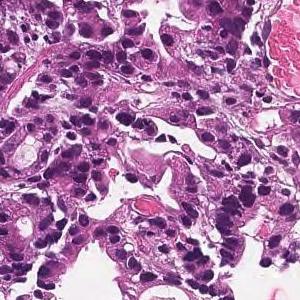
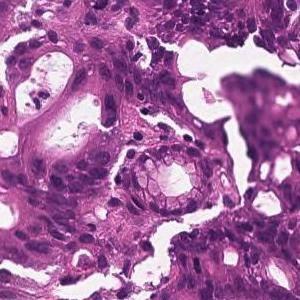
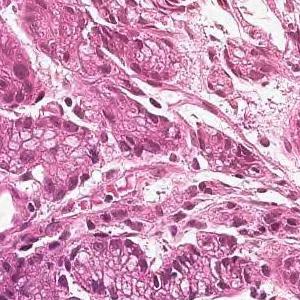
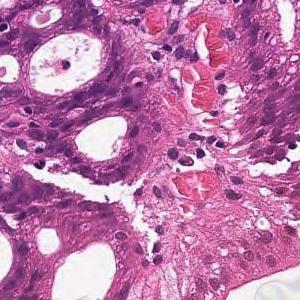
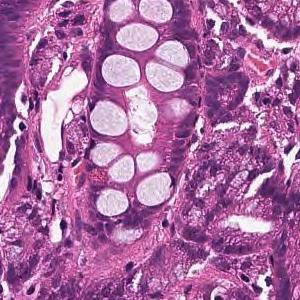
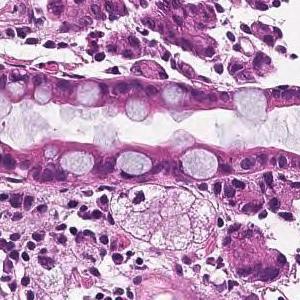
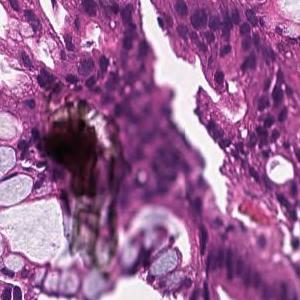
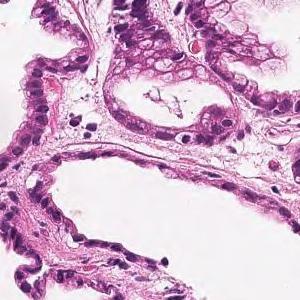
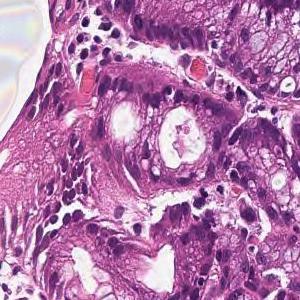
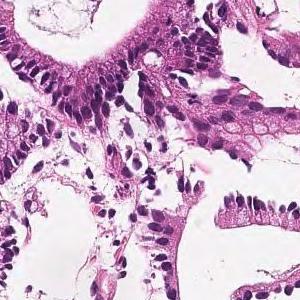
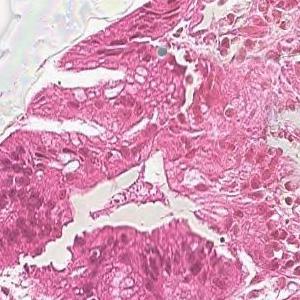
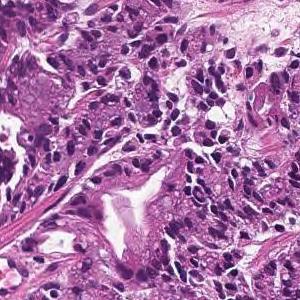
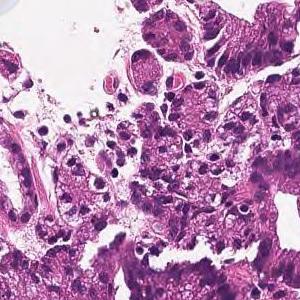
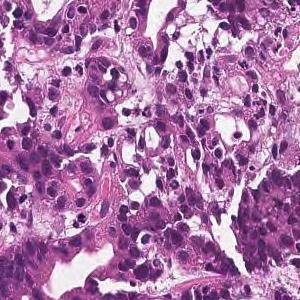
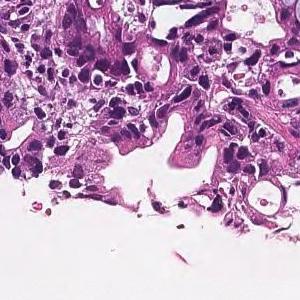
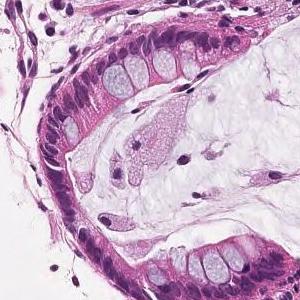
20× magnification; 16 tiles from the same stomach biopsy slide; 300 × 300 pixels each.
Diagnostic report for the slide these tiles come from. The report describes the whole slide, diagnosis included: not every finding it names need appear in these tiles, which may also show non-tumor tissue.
In the superficial epithelium, tumor tissue that invades by forming medium-sized to small, irregular ducts is observed. moderately differentiated tubular adenocarcinoma.
